7 patches cut from one gastric biopsy slide · each 300 × 300 pixels · H&E.
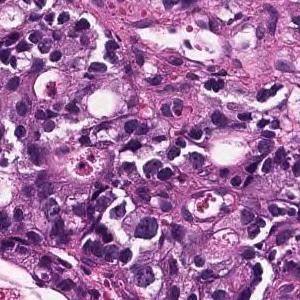
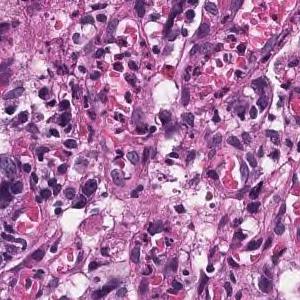
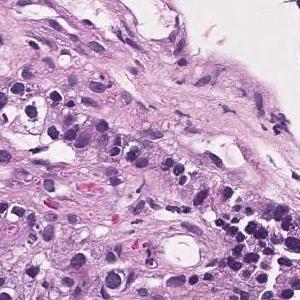
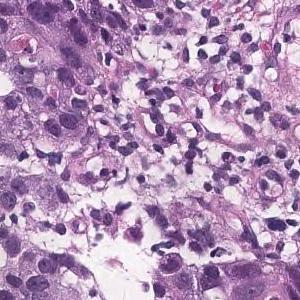
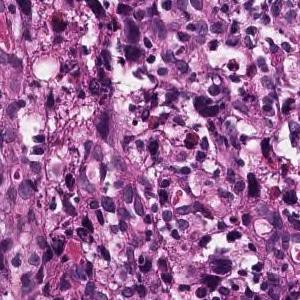
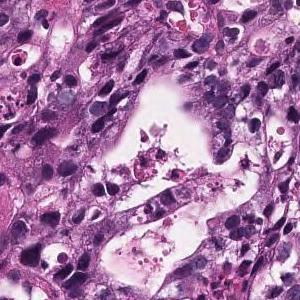
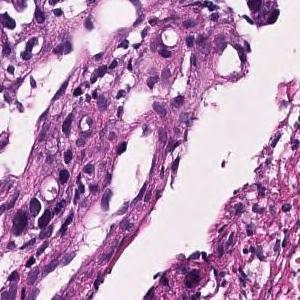
Diagnostic report for the slide these tiles come from. Both the report and the diagnosis are for the whole slide: these tiles need not show every feature named, and some of the tissue shown may not be tumor.
Tumor tissue consisting of medium-sized, cord-like or irregular glandular infiltration is observed in the superficial epithelium. Poorly differentiated adenocarcinoma, non-solid type or moderately differentiated tubular adenocarcinoma
The term "non-solid type" comes from the Japanese Classification of Gastric Carcinoma.
